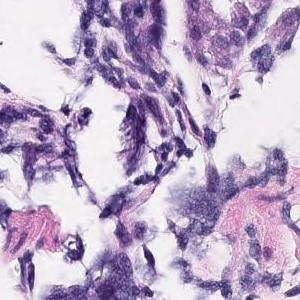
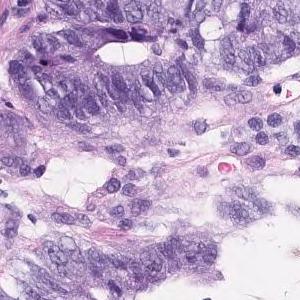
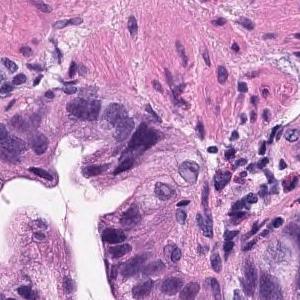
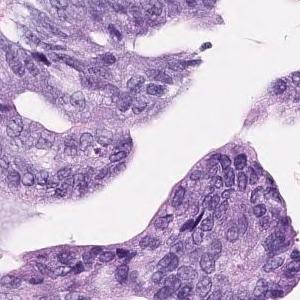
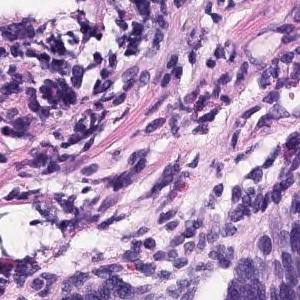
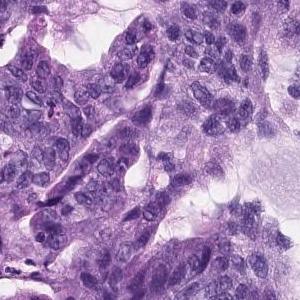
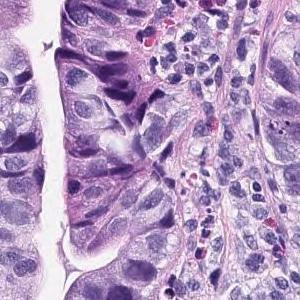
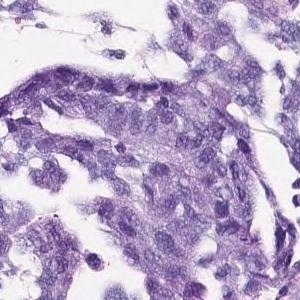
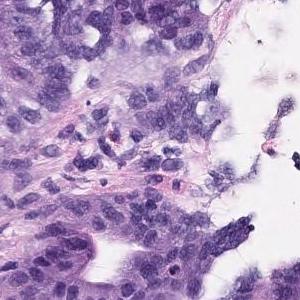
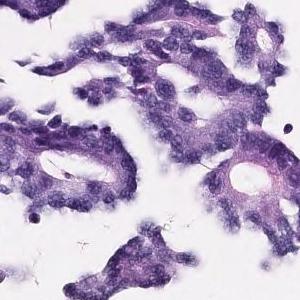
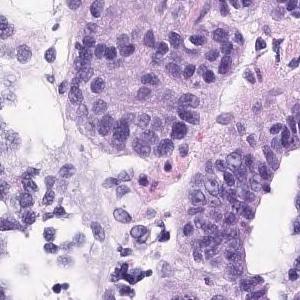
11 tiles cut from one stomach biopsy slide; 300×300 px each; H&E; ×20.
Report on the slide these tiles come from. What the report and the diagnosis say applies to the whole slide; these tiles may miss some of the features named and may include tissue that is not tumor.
In the superficial epithelium, tumor tissue that invades by forming medium-sized to small, irregular ducts is observed. Well to moderately differentiated tubular adenocarcinoma.
